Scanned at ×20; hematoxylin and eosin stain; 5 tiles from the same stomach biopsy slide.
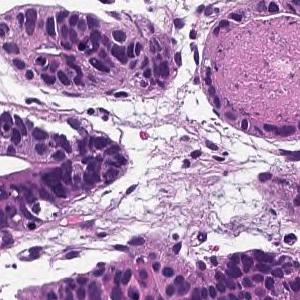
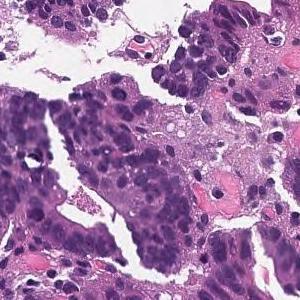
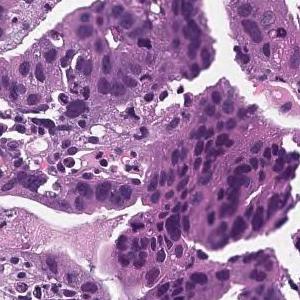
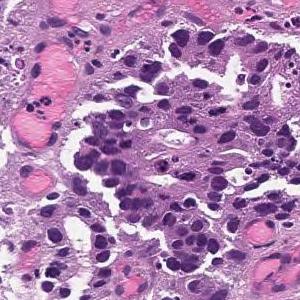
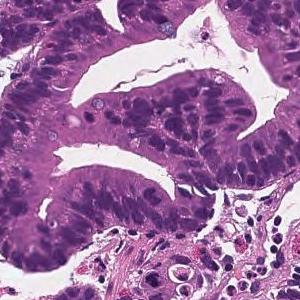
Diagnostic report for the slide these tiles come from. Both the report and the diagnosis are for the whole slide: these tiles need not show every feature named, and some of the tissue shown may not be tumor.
In the superficial epithelium, tumor tissue that invades by forming medium-sized to small, irregular ducts is observed. moderately differentiated tubular adenocarcinoma.
